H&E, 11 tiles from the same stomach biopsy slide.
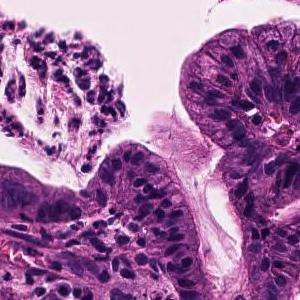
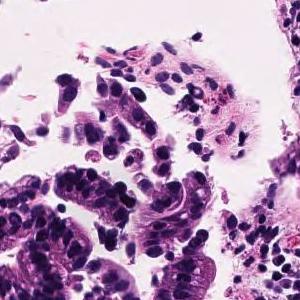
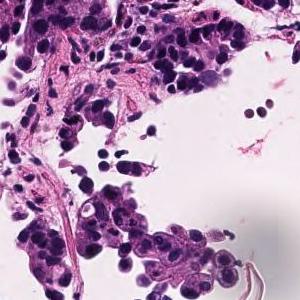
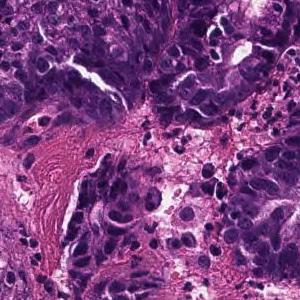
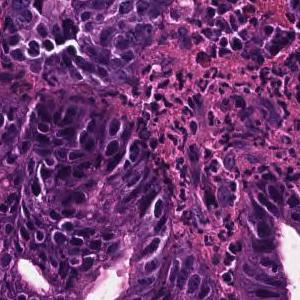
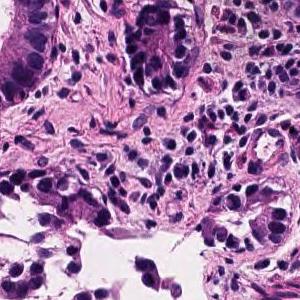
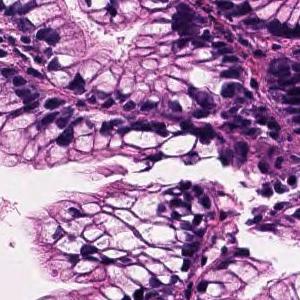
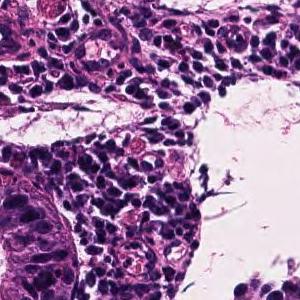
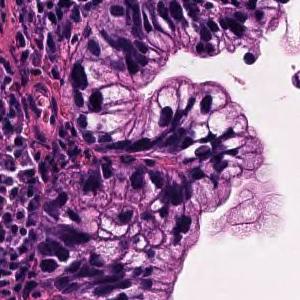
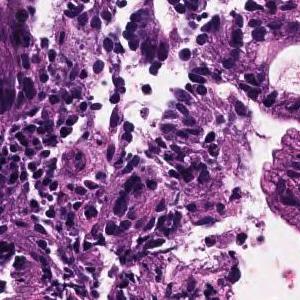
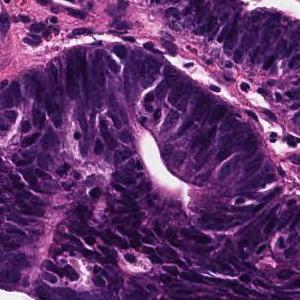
The pathologist's report on the biopsy slide these tiles were taken from. Both the report and the diagnosis are for the whole slide: these tiles need not show every feature named, and some of the tissue shown may not be tumor.
Tumor cells are large, highly columnar, large club-shaped nuclei, and are associated with chromatin aggregation. Papillary adenocarcinoma.
